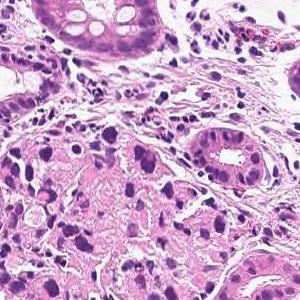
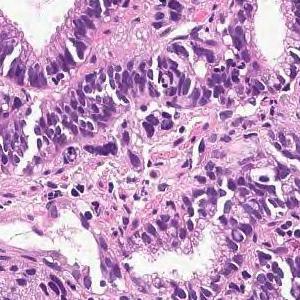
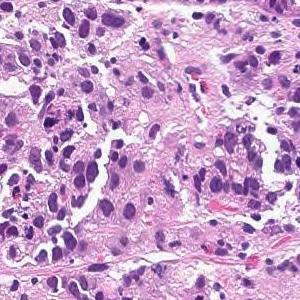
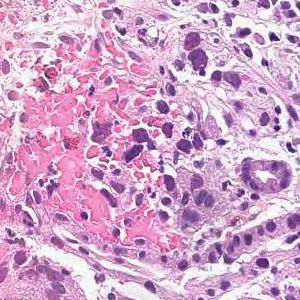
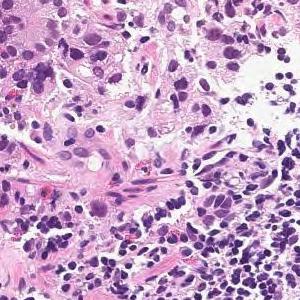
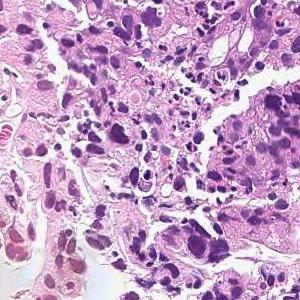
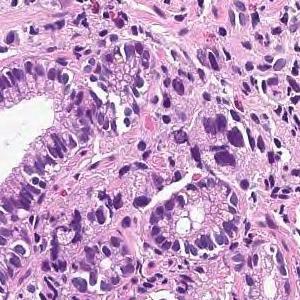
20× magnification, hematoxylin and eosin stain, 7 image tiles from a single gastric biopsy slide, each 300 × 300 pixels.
The pathologist's report on the biopsy slide these tiles were taken from. Both the report and the diagnosis are for the whole slide: these tiles need not show every feature named, and some of the tissue shown may not be tumor.
Tumor tissue consisting of medium-sized, cord-like or irregular glandular infiltration is observed in the superficial epithelium. Poorly differentiated adenocarcinoma, non-solid type or moderately differentiated tubular adenocarcinoma (moderately differentiated tubular adenocarcinoma)
Dataset label: moderately differentiated tubular adenocarcinoma.
The term "non-solid type" comes from the Japanese Classification of Gastric Carcinoma.
